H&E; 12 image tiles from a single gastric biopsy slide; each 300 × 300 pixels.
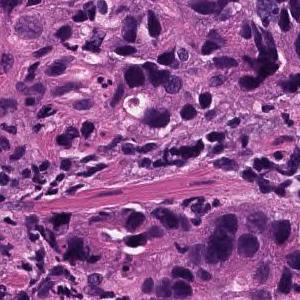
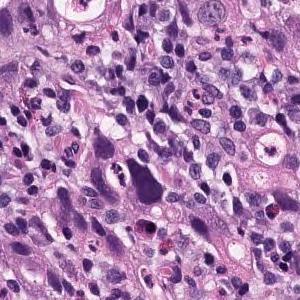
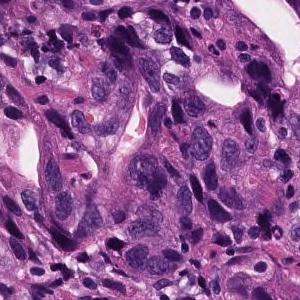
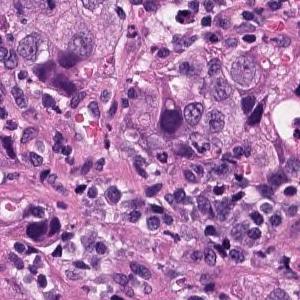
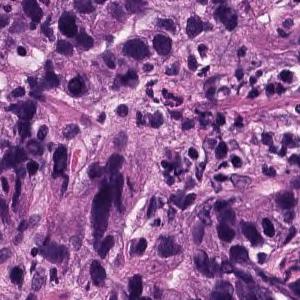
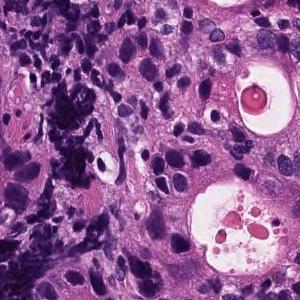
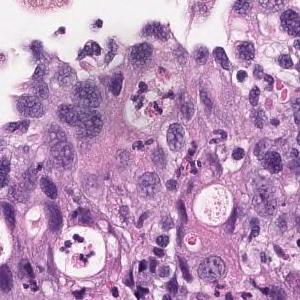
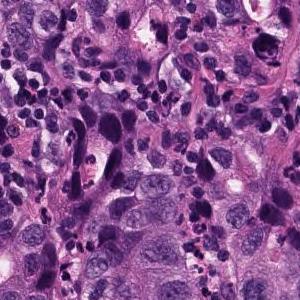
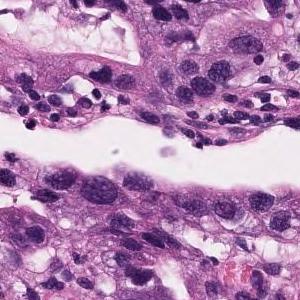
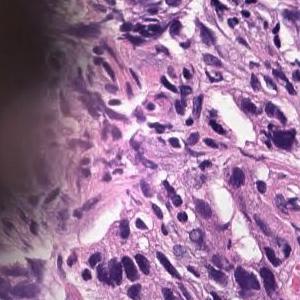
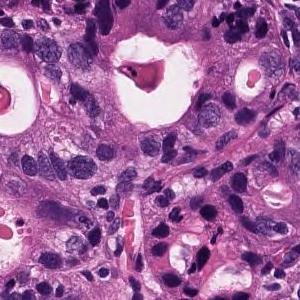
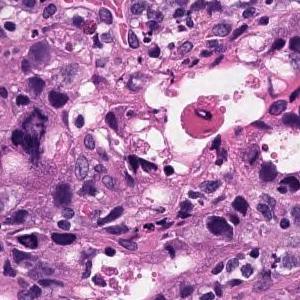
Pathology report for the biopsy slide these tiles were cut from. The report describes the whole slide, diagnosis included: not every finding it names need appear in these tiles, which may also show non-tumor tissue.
In the superficial epithelium, tumor tissue that invades by forming medium-sized to small, irregular ducts is observed. Moderately differentiated adenocarcinoma.
Tumor subtype: moderately differentiated tubular adenocarcinoma.
